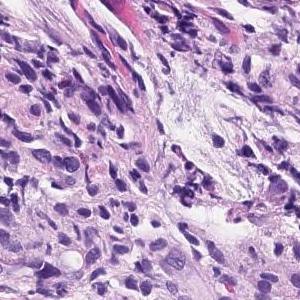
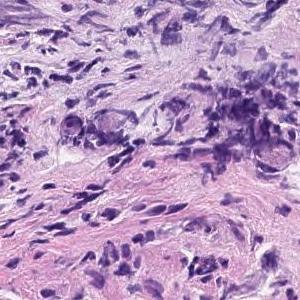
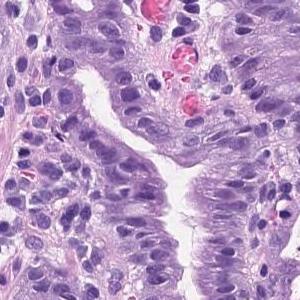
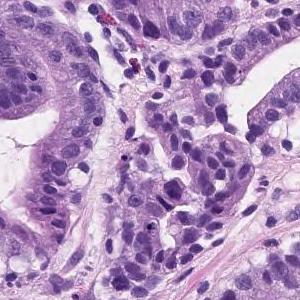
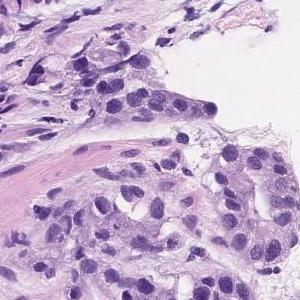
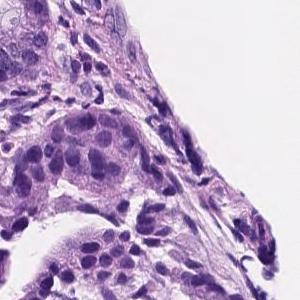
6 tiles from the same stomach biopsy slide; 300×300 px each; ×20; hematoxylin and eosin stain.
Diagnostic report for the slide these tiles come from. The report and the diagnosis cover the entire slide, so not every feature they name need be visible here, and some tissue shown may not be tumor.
Tumor tissue consisting of medium-sized and irregular ducts is observed infiltrating in the superficial epithelium. Tumor cells are highly columnar, with nuclei aligned basolaterally and polarized. Well differentiated tubular adenocarcinoma.
